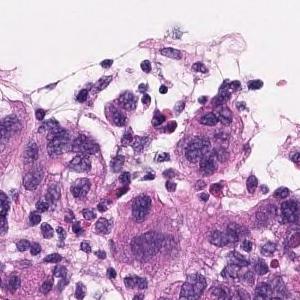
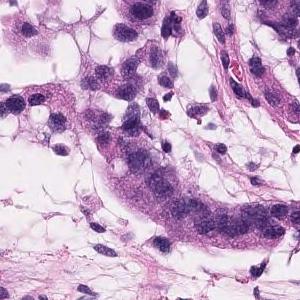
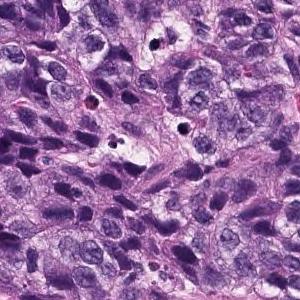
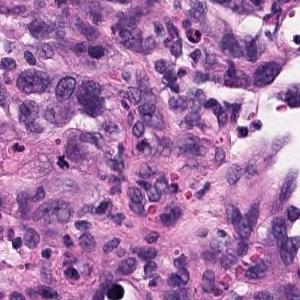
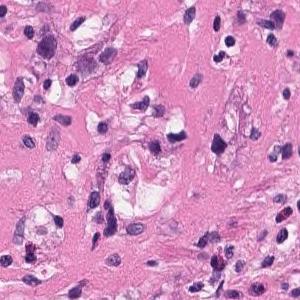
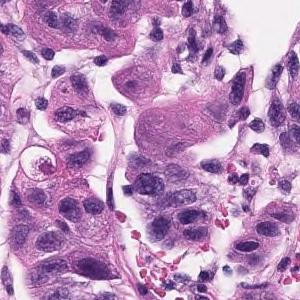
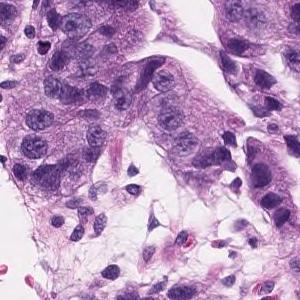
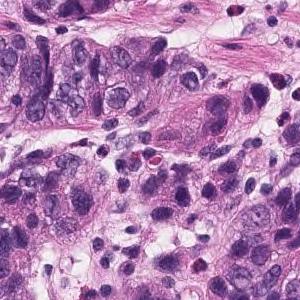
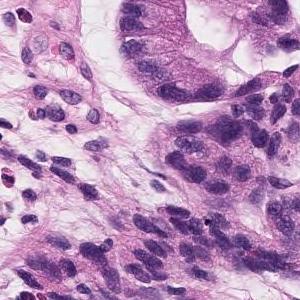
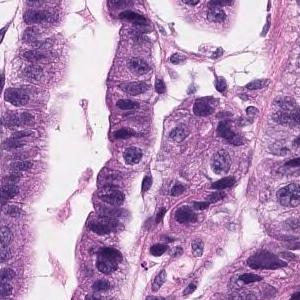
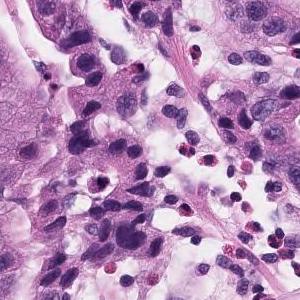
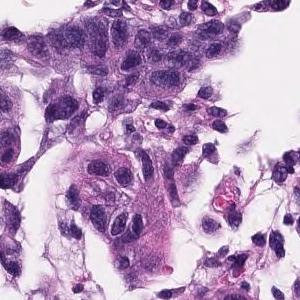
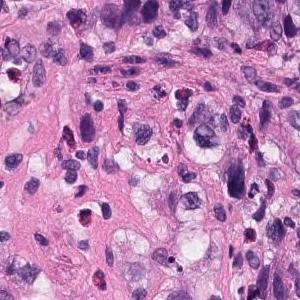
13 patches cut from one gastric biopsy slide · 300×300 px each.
The pathologist's report on the biopsy slide these tiles were taken from. What the report and the diagnosis say applies to the whole slide; these tiles may miss some of the features named and may include tissue that is not tumor.
Atypical l cells with atypical nuclei forming diffuse or small irregular atypical ducts and growing. Moderately to poorly differentiated adenocarcinoma (poorly differentiated adenocarcinoma, solid type, moderately differentiated tubular adenocarcinoma)
Histologic type: Moderately to poorly differentiated adenocarcinoma.
The solid type named here is a Japanese Classification of Gastric Carcinoma category; WHO 2019 calls it tubular adenocarcinoma, poorly differentiated.
